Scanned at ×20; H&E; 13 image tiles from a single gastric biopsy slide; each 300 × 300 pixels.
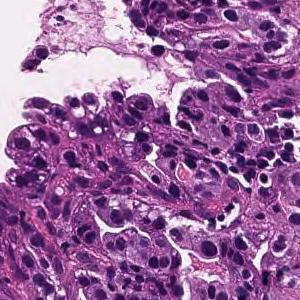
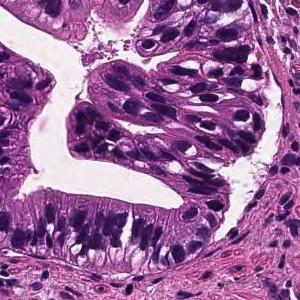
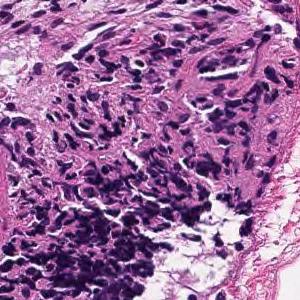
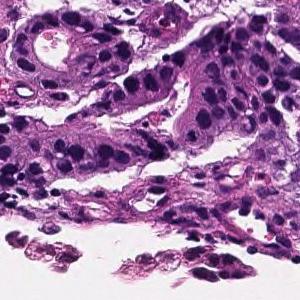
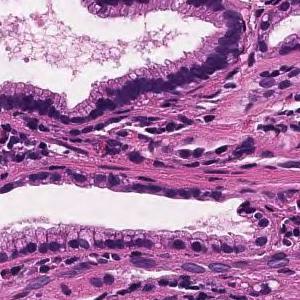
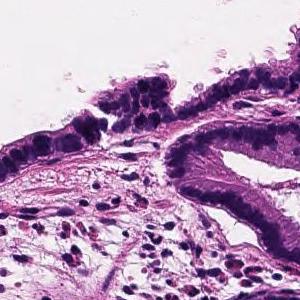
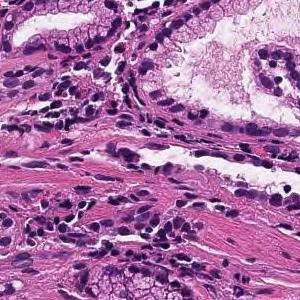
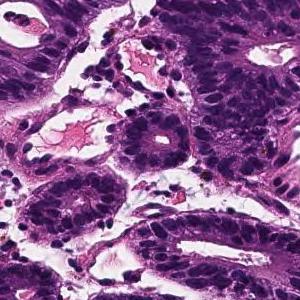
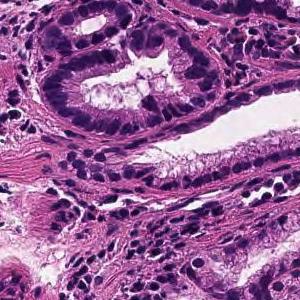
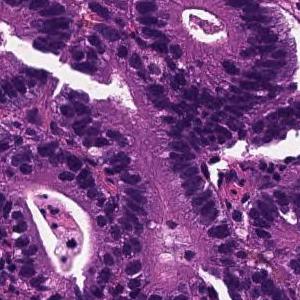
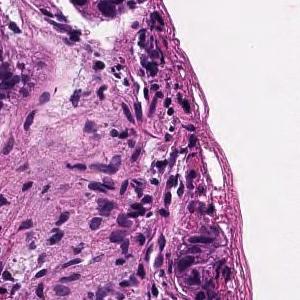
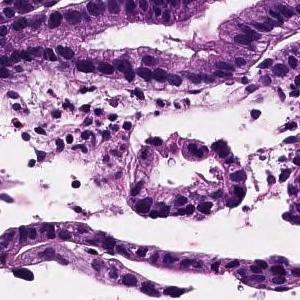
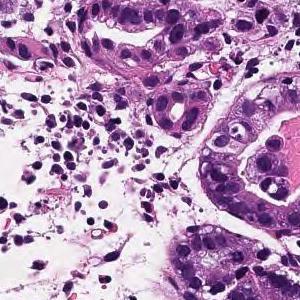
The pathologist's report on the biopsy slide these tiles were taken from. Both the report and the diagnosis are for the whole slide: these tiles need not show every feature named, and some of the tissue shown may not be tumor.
From the superficial epithelium to the muscularis mucosae, tumor tissue consisting of medium-sized and irregular glandular ducts infiltrating is observed. Well differentiated tubular adenocarcinoma
